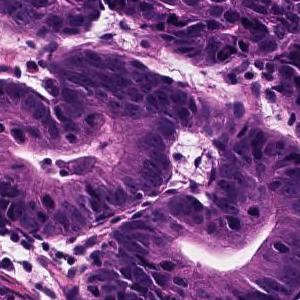
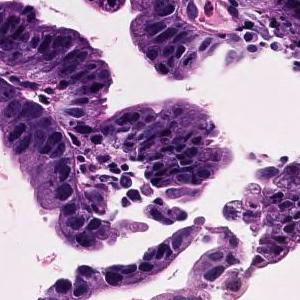
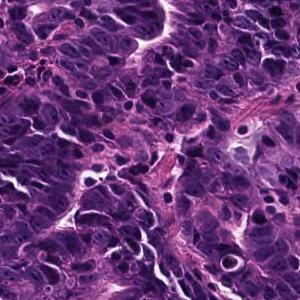
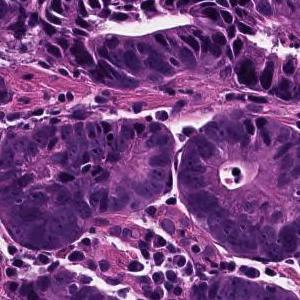
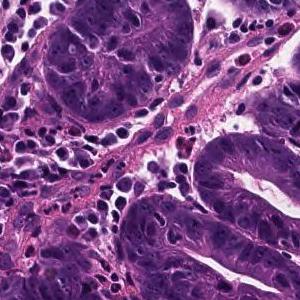
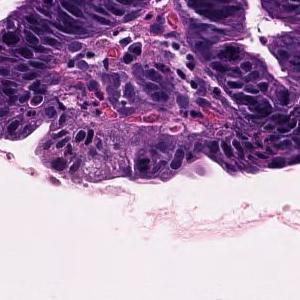
6 image tiles from a single gastric biopsy slide · each 300 × 300 pixels · H&E.
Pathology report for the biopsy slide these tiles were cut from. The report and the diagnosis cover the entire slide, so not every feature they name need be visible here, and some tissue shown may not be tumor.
On the superficial epithelium, tumor tissue consisting of growth of medium-sized to large-sized, round or irregular glandular ducts is observed. Well differentiated tubular adenocarcinoma
